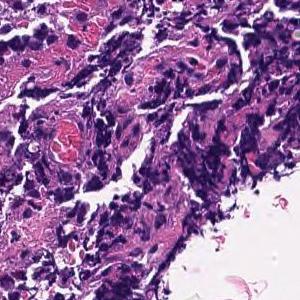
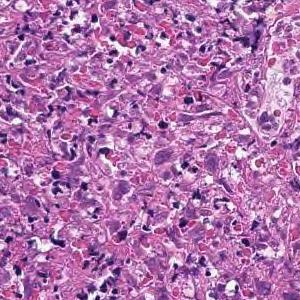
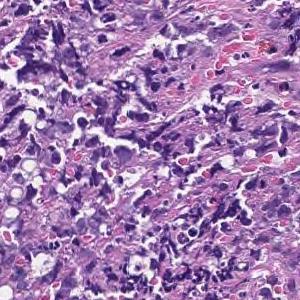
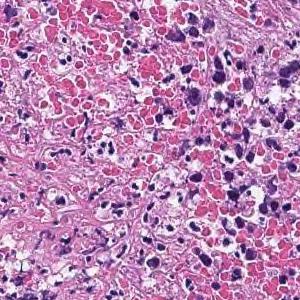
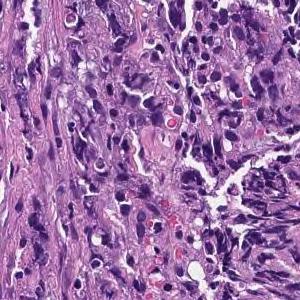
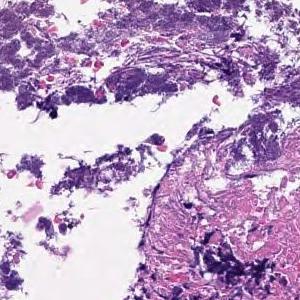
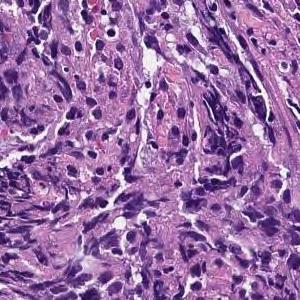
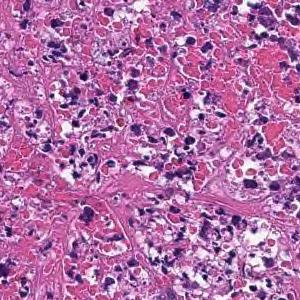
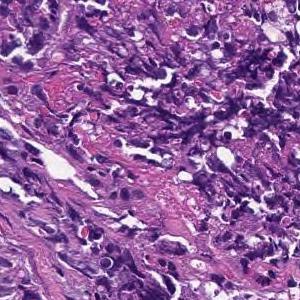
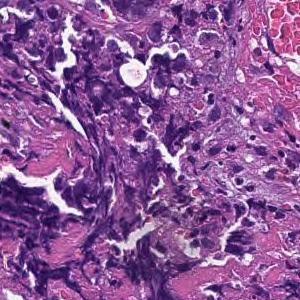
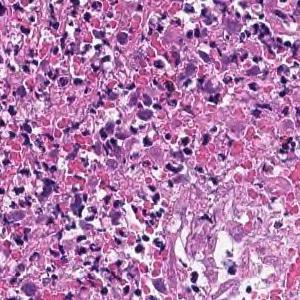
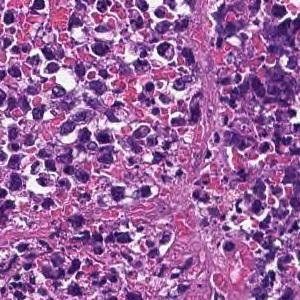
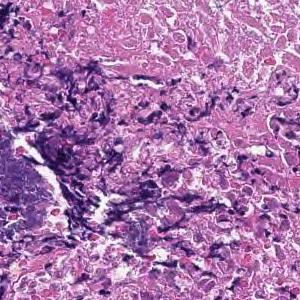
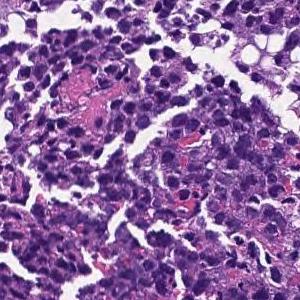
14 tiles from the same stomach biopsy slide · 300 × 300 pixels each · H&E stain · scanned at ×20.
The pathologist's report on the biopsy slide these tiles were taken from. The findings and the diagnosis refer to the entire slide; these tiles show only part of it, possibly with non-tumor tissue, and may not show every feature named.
Most are composed of coagulative necrotic tissue, but some show a large sheet-like shape, and some show tumor tissue infiltrating with a small cord-like structure. Poorly differentiated adenocarcinoma, solid-type
Subtype: Poorly differentiated adenocarcinoma, solid type. This name comes from the Japanese Classification of Gastric Carcinoma; the WHO 2019 classification calls it tubular adenocarcinoma, poorly differentiated.
